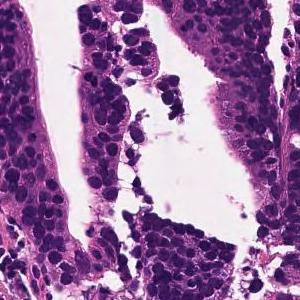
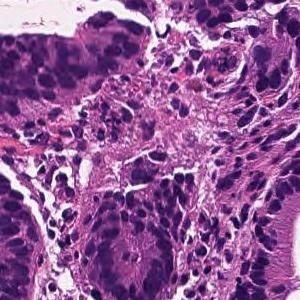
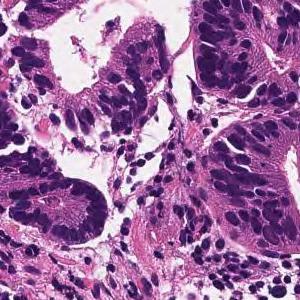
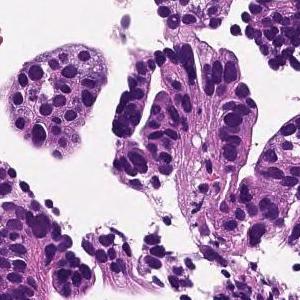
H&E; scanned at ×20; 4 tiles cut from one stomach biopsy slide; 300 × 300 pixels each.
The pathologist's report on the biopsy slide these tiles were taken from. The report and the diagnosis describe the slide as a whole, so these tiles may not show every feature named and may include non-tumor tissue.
From the superficial epithelium to the muscularis mucosae, tumor tissue consisting of medium-sized and irregular glandular ducts infiltrating is observed. Well differentiated tubular adenocarcinoma
